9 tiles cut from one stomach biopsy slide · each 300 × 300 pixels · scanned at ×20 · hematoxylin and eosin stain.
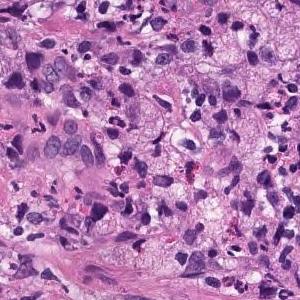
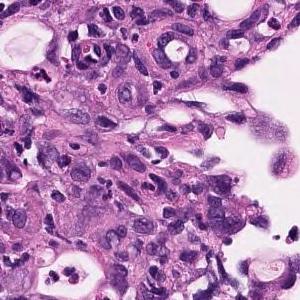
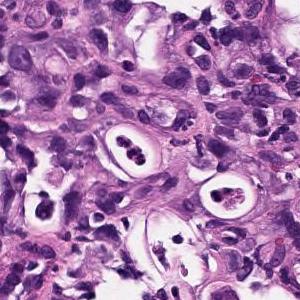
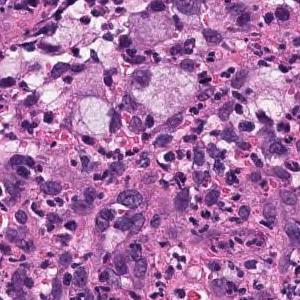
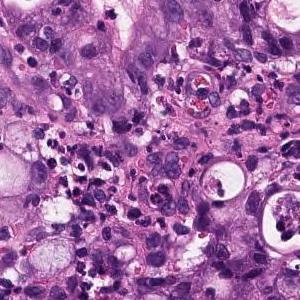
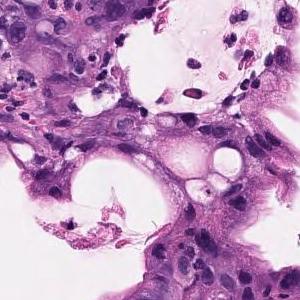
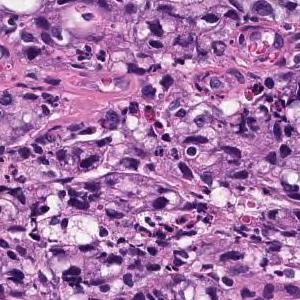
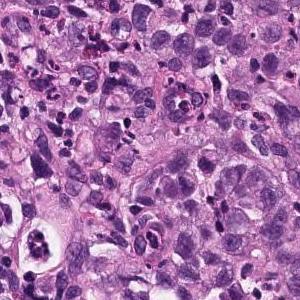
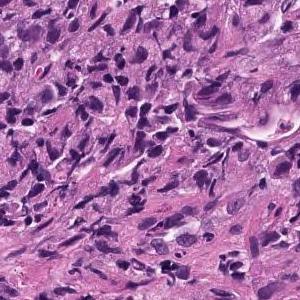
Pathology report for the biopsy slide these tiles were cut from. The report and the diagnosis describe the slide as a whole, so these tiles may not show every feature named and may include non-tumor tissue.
Atypical epithelium forms irregularly fused gland ducts and proliferates. Poorly differentiated adenocarcinoma.
Histologic type: Poorly differentiated adenocarcinoma, non-solid type.
"Non-solid type" is a category of the Japanese Classification of Gastric Carcinoma.
